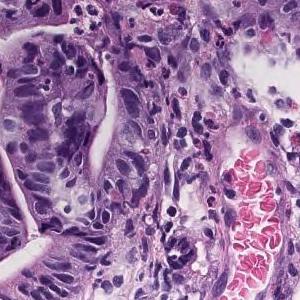
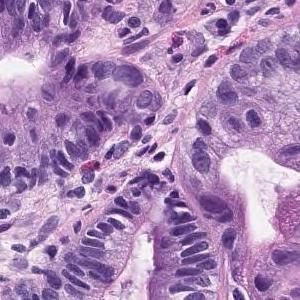
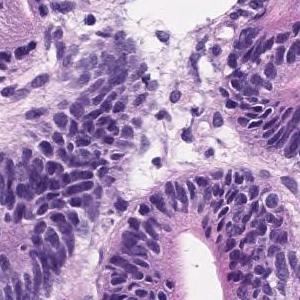
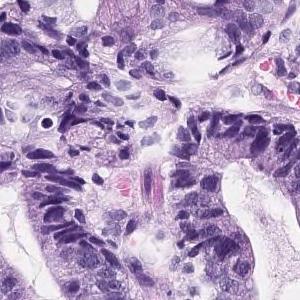
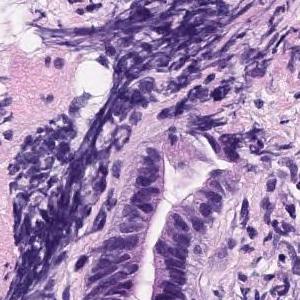
5 tiles cut from one stomach biopsy slide; each 300 × 300 pixels; hematoxylin and eosin stain; scanned at ×20.
The pathologist's report on the biopsy slide these tiles were taken from. What the report and the diagnosis say applies to the whole slide; these tiles may miss some of the features named and may include tissue that is not tumor.
On the superficial epithelium, tumor tissue consisting of medium-sized to large-sized, round or irregular glandular duct growth images is observed. Well differentiated adenocarcinoma.
Classified as well differentiated tubular adenocarcinoma.
